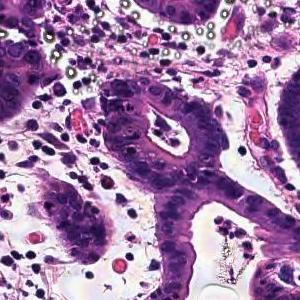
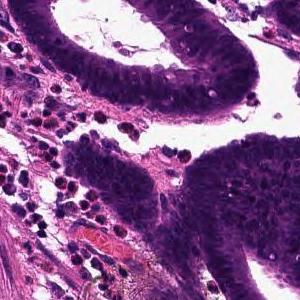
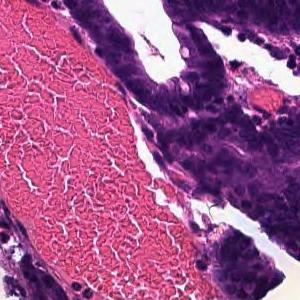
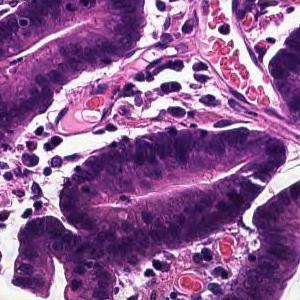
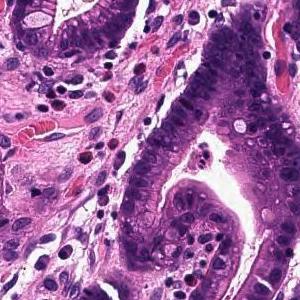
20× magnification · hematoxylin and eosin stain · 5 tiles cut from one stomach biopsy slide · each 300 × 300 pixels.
Diagnostic report for the slide these tiles come from. What the report and the diagnosis say applies to the whole slide; these tiles may miss some of the features named and may include tissue that is not tumor.
Tumor tissue that infiltrates by forming large papillary or large irregular glandular ducts is observed confined to the mucosa. Papillary adenocarcinoma
